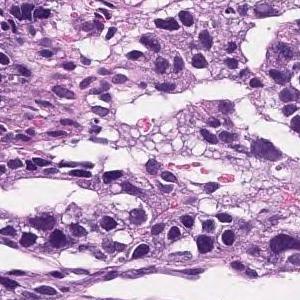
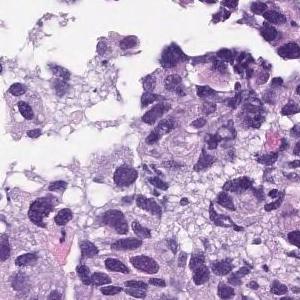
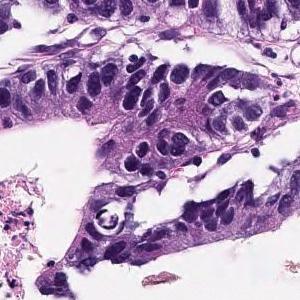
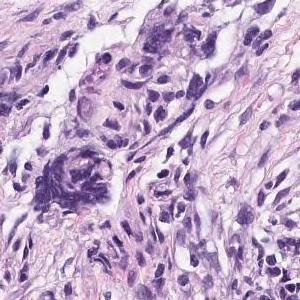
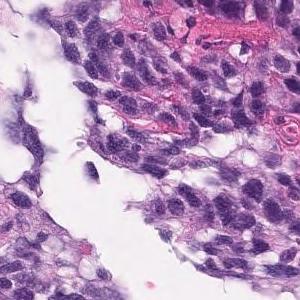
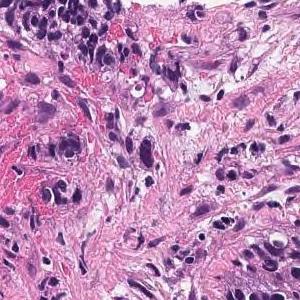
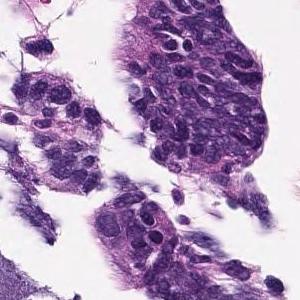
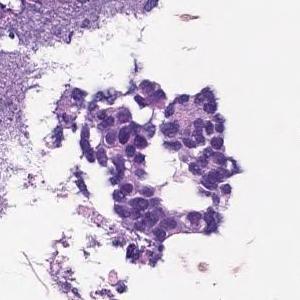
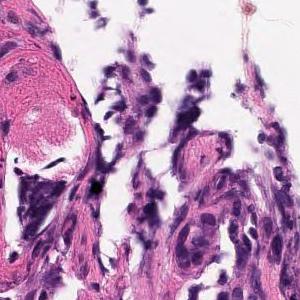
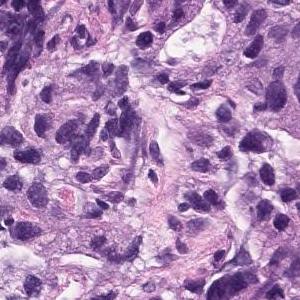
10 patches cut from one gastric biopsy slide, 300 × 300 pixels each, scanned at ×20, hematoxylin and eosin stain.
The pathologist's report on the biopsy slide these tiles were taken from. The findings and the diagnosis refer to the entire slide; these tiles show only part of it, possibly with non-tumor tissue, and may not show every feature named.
Medium to small, irregular glandular ducts are formed in the superficial epithelium, and in some cases, the glandular ducts are fused to show solid alveolar lesions and infiltrating tumor tissue is observed. Moderately to poorly differentiated adenocarcinoma.
